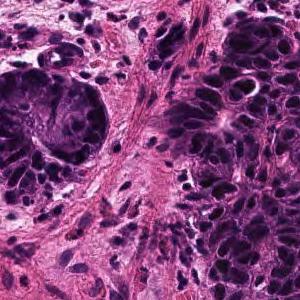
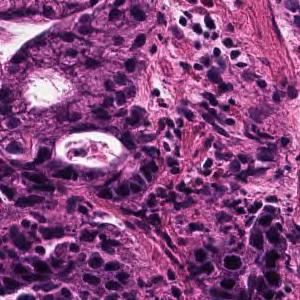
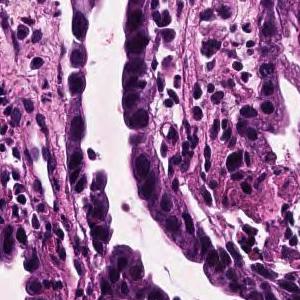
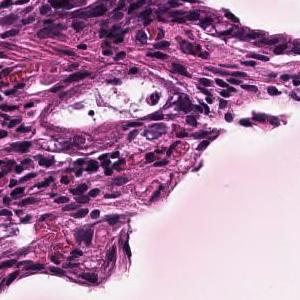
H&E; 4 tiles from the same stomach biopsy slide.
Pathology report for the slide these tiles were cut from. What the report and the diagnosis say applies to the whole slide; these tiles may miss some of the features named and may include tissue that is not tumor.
In the superficial epithelium, tumor tissue that invades by forming medium-sized to small, irregular ducts is observed. moderately differentiated tubular adenocarcinoma.
